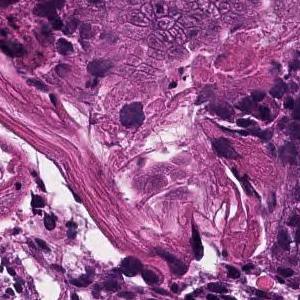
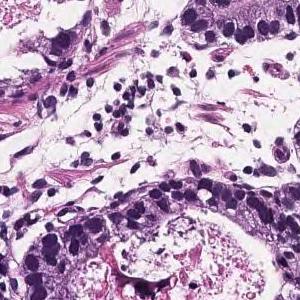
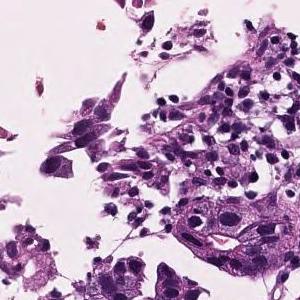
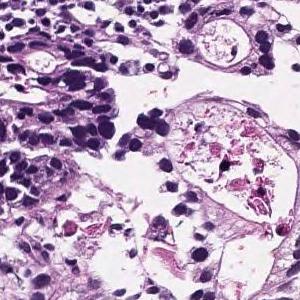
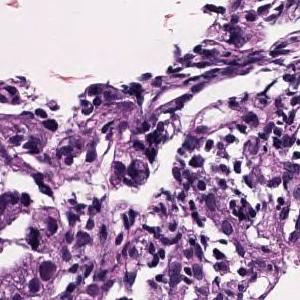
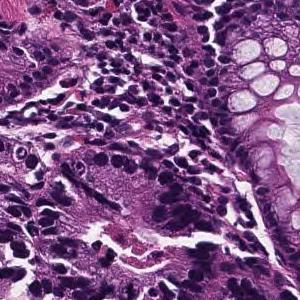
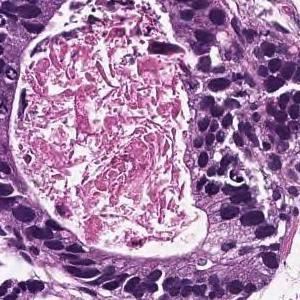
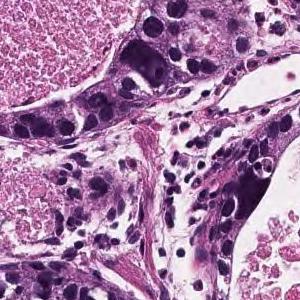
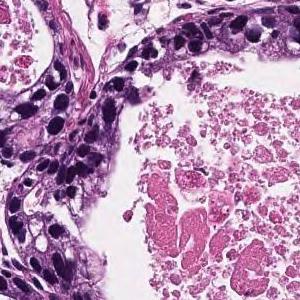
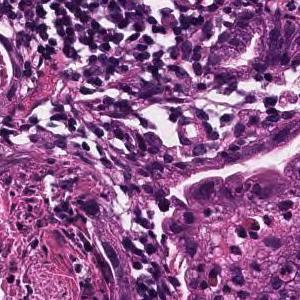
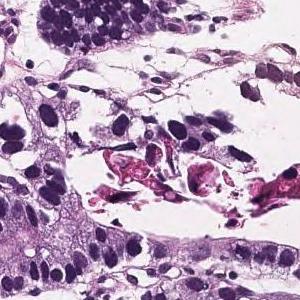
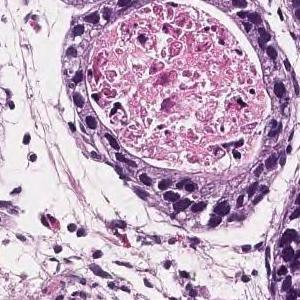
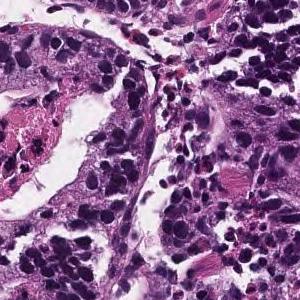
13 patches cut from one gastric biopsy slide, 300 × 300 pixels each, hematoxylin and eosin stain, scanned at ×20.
The pathologist's report on the biopsy slide these tiles were taken from. The report and the diagnosis describe the slide as a whole, so these tiles may not show every feature named and may include non-tumor tissue.
In the superficial epithelium, tumor tissue that invades by forming medium-sized to small, irregular ducts is observed. Well differentiated tubular adenocarcinoma.
